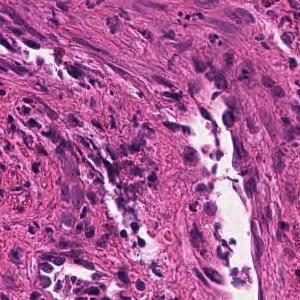
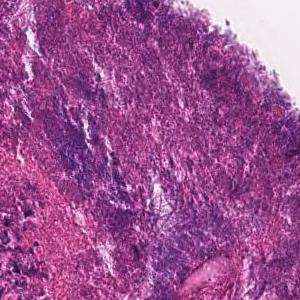
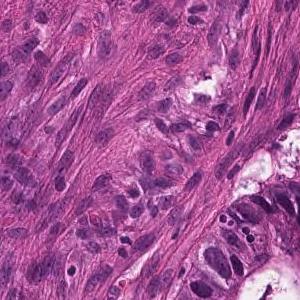
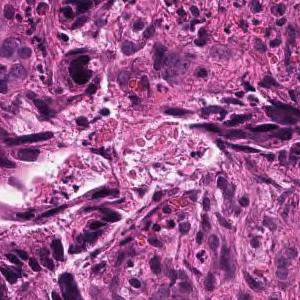
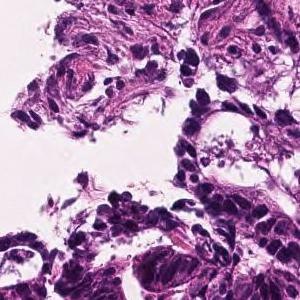
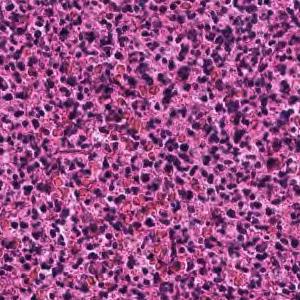
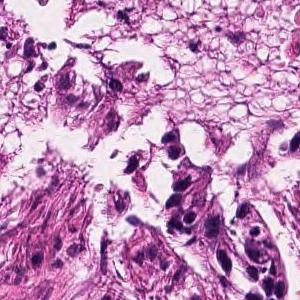
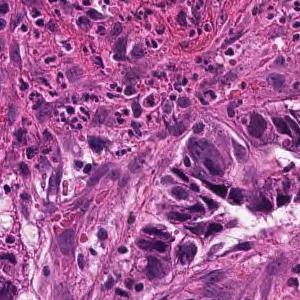
8 tiles from the same stomach biopsy slide, scanned at ×20.
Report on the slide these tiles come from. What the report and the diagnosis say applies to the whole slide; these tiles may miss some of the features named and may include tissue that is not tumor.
In the superficial epithelium, tumor tissue that invades by forming medium-sized to small, irregular ducts is observed. moderately differentiated tubular adenocarcinoma.
